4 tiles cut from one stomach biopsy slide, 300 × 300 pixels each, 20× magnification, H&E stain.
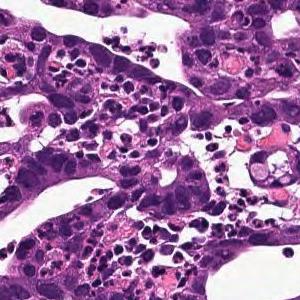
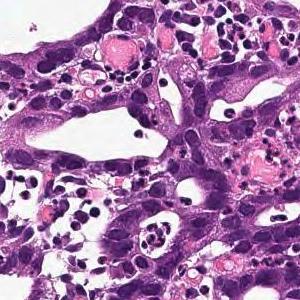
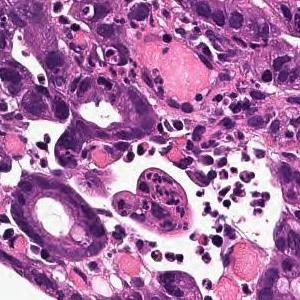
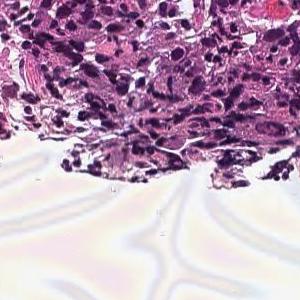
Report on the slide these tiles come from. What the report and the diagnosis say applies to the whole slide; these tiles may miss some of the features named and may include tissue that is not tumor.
On the superficial epithelium, a tumor tissue consisting of a large, irregular glandular duct partially fused and infiltrating with a small alveolar shape is observed. Well or moderately differentiated tubular adenocarcinoma (well differentiated tubular adenocarcinoma, moderately differentiated tubular adenocarcinoma)
Tumor subtype: well to moderately differentiated tubular adenocarcinoma.
